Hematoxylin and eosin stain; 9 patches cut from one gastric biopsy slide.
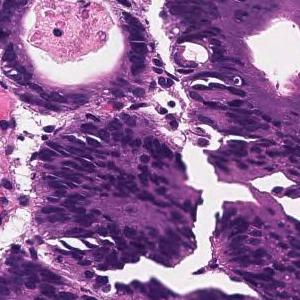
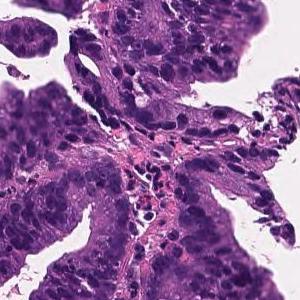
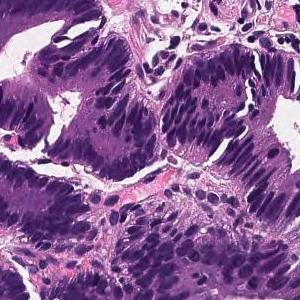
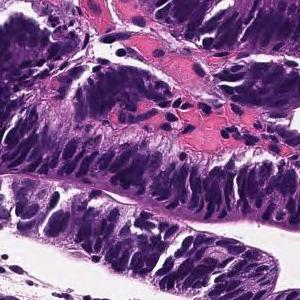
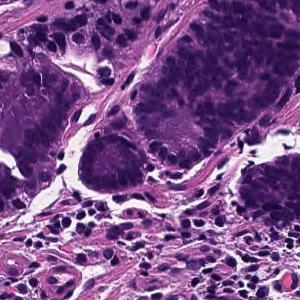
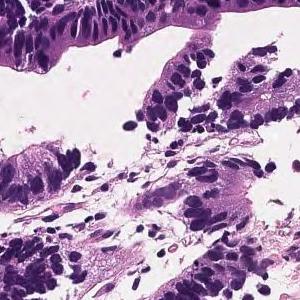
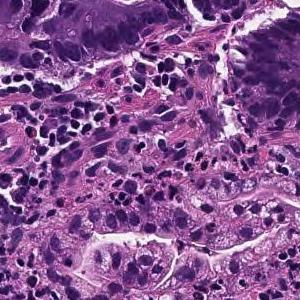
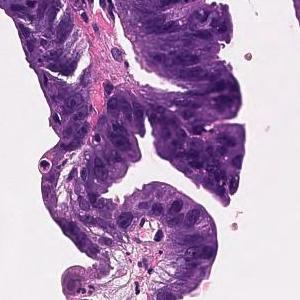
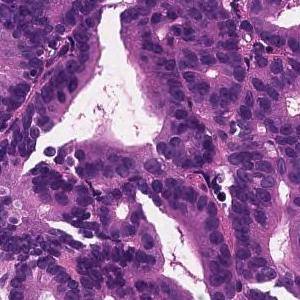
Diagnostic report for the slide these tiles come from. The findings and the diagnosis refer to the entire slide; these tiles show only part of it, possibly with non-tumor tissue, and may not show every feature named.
Tumor tissue consisting of large papillary structures is found in the superficial epithelium. Papillary adenocarcinoma.
